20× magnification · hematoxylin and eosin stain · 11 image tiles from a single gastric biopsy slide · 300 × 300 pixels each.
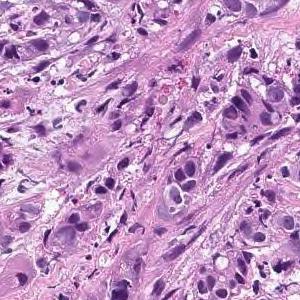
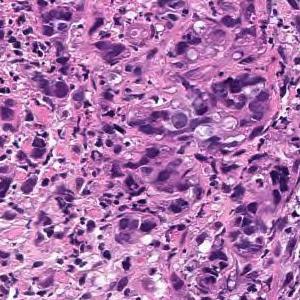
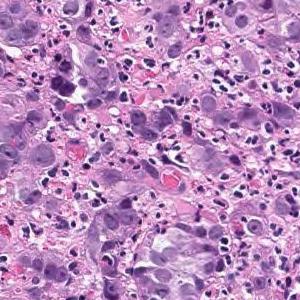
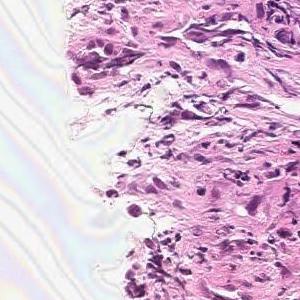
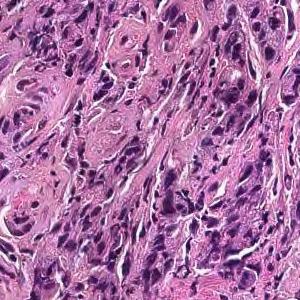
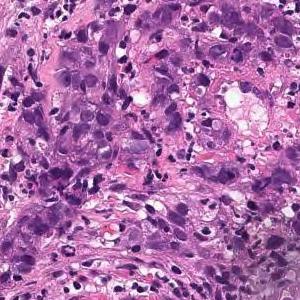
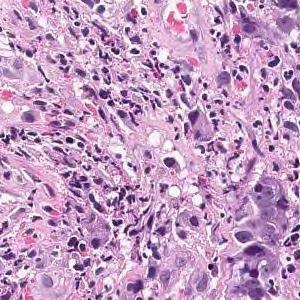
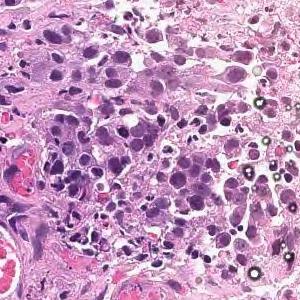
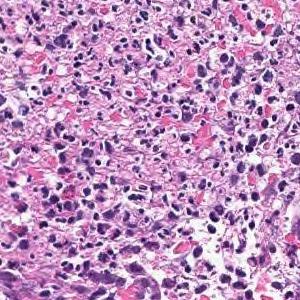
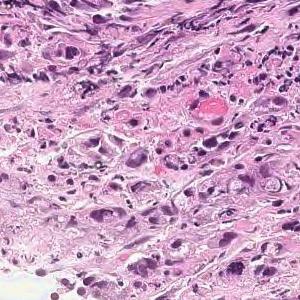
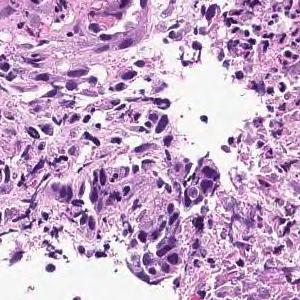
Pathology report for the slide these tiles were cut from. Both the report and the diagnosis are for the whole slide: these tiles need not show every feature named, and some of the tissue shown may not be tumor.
Tumor tissue consisting of cord-like or small, irregular glandular ducts fused and infiltrated is observed in the superficial epithelium. Poorly differentiated adenocarcinoma, non-solid type
The non-solid type named here is a Japanese Classification of Gastric Carcinoma category.
